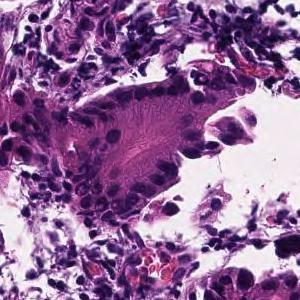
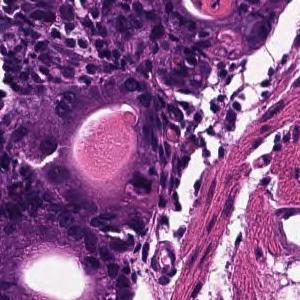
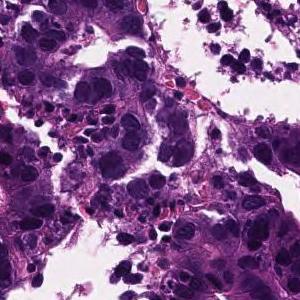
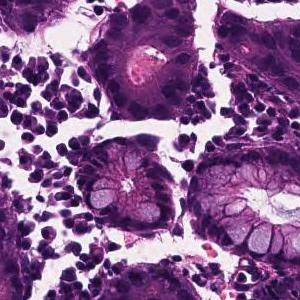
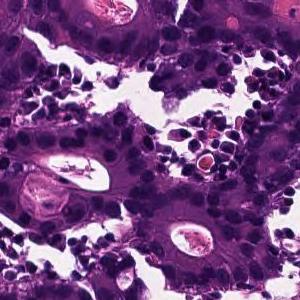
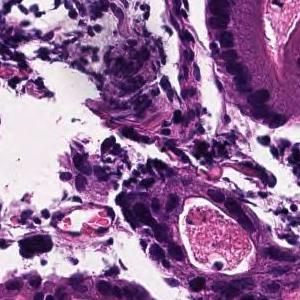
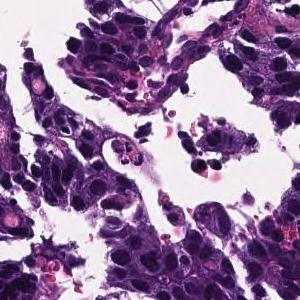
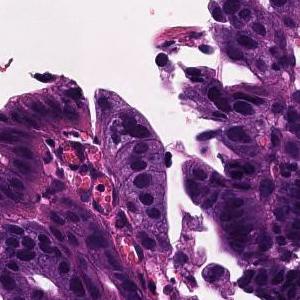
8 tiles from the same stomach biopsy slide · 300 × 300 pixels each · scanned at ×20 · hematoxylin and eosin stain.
Report on the slide these tiles come from. Both the report and the diagnosis are for the whole slide: these tiles need not show every feature named, and some of the tissue shown may not be tumor.
From the superficial epithelium to the muscularis mucosae, tumor tissue infiltrating by forming medium-sized irregular gland ducts is observed. Large tumor cells exhibit large nucleus and hyperchromatism. Well differentiated tubular adenocarcinoma
